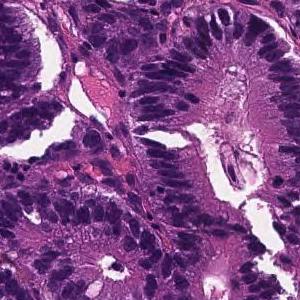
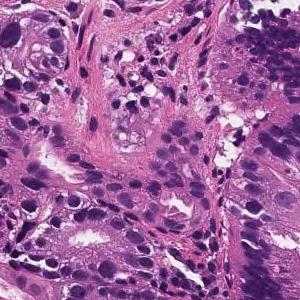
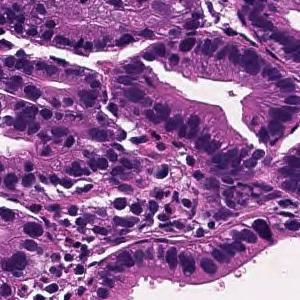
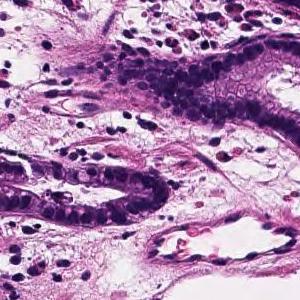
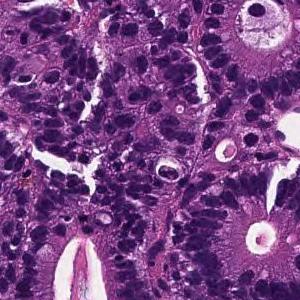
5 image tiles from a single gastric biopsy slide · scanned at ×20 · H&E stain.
Diagnostic report for the slide these tiles come from. Both the report and the diagnosis are for the whole slide: these tiles need not show every feature named, and some of the tissue shown may not be tumor.
From the superficial epithelium to the muscularis mucosae, tumor tissue consisting of medium-sized and irregular glandular ducts infiltrating is observed. Well differentiated tubular adenocarcinoma
